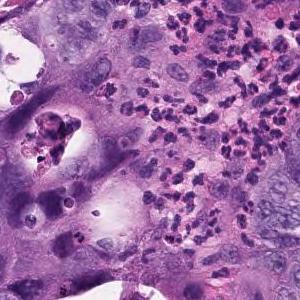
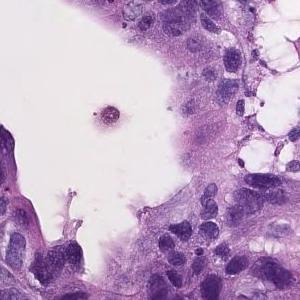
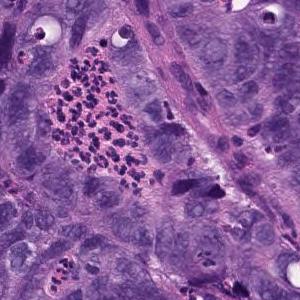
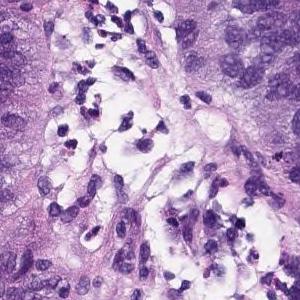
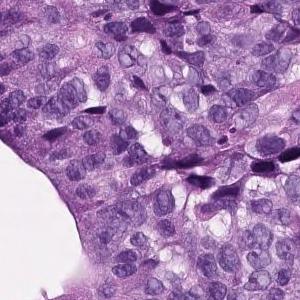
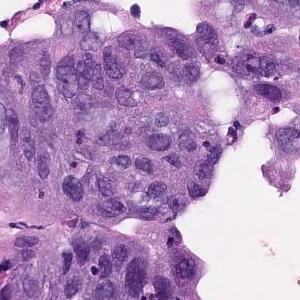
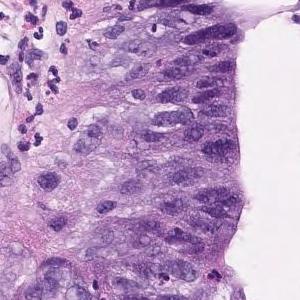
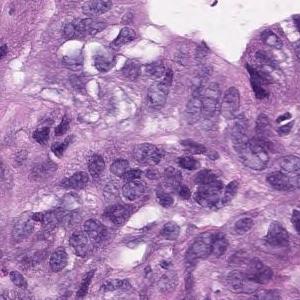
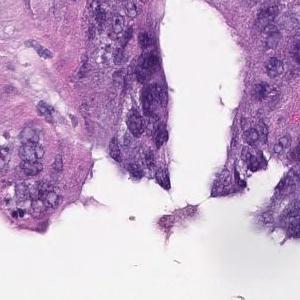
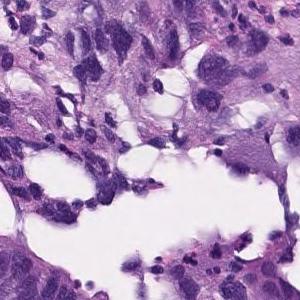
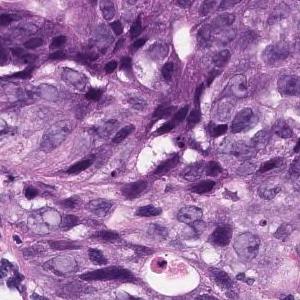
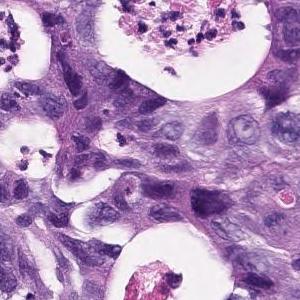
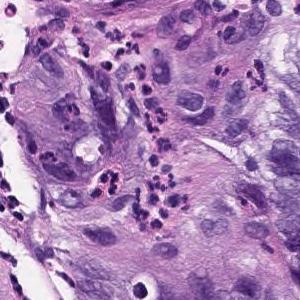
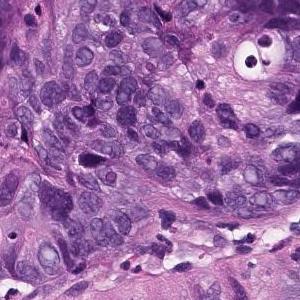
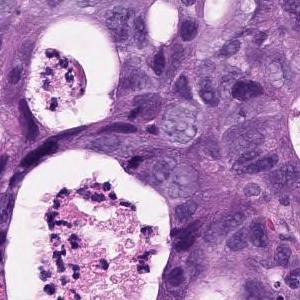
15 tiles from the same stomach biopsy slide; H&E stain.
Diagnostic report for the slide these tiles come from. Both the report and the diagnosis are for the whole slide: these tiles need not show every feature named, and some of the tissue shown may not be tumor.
In the superficial epithelium, tumor tissue that invades by forming medium-sized to small, irregular ducts is observed. Moderately differentiated adenocarcinoma.
Histologic type: Moderately differentiated tubular adenocarcinoma.
